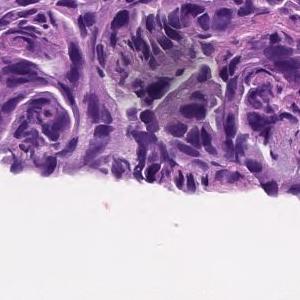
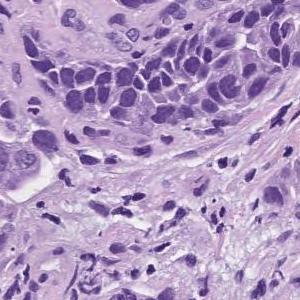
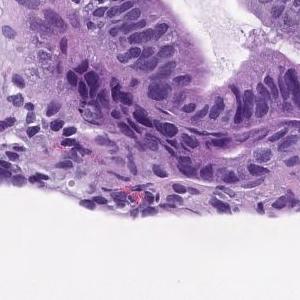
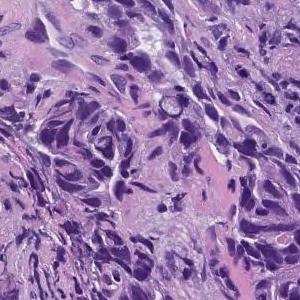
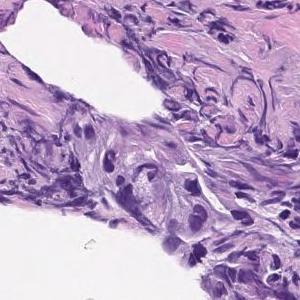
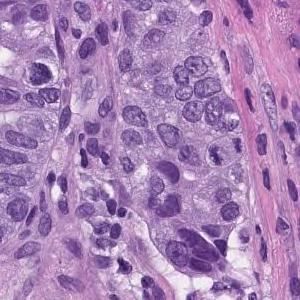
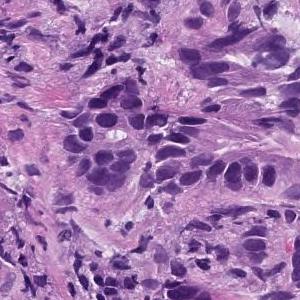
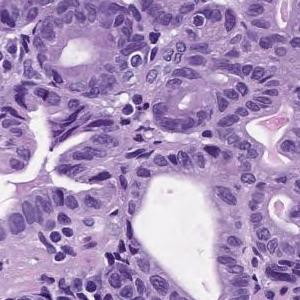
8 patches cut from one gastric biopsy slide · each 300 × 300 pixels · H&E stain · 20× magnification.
Pathology report for the biopsy slide these tiles were cut from. The report and the diagnosis describe the slide as a whole, so these tiles may not show every feature named and may include non-tumor tissue.
In the superficial epithelium, tumor tissue that invades by forming medium-sized to small, irregular ducts is observed. moderately differentiated tubular adenocarcinoma.
